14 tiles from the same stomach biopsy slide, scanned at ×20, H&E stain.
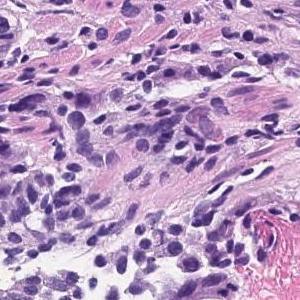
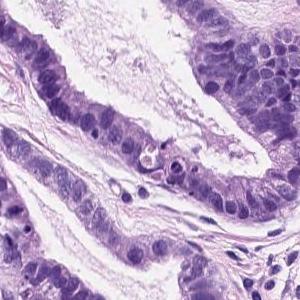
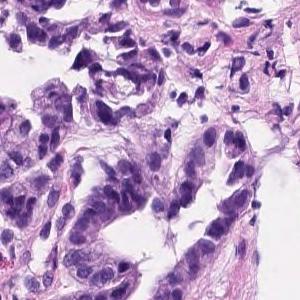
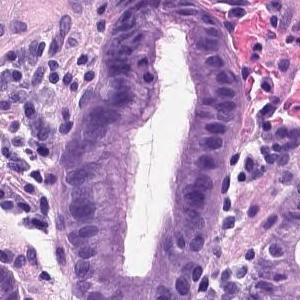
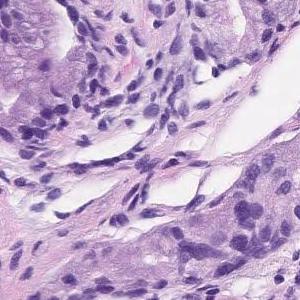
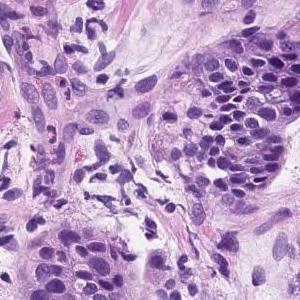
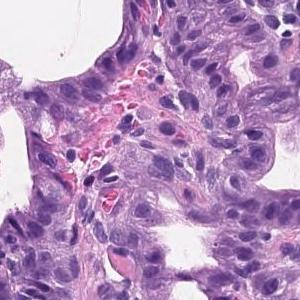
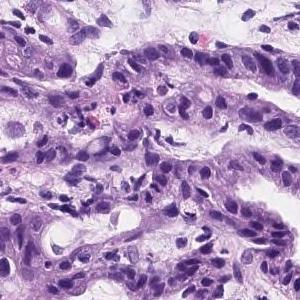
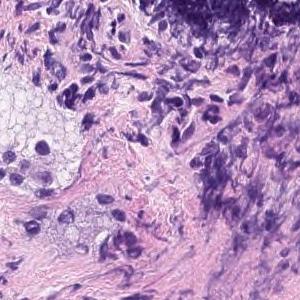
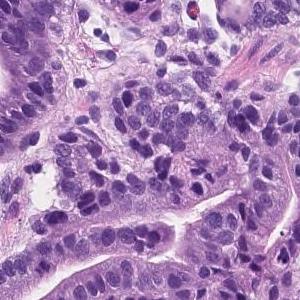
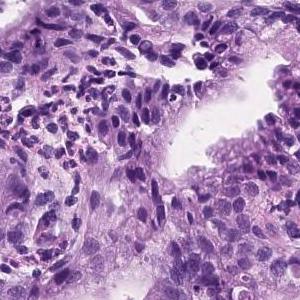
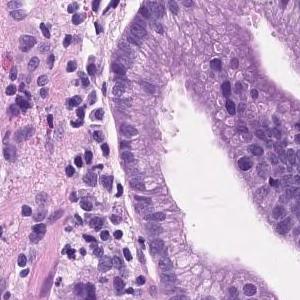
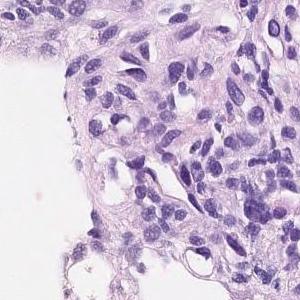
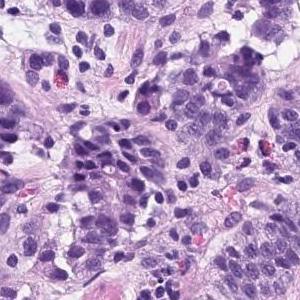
Pathology report for the slide these tiles were cut from. Both the report and the diagnosis are for the whole slide: these tiles need not show every feature named, and some of the tissue shown may not be tumor.
Tumor tissue consisting of medium-sized and irregular ducts is observed infiltrating in the superficial epithelium. Tumor cells are highly columnar, with nuclei aligned basolaterally and polarized. Well differentiated tubular adenocarcinoma.
